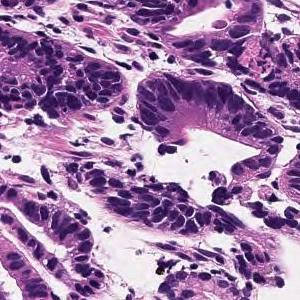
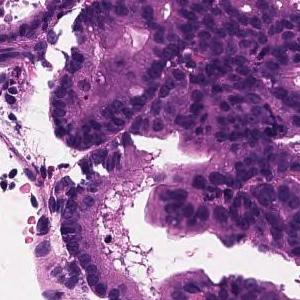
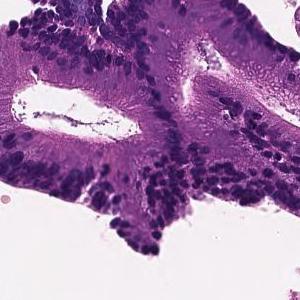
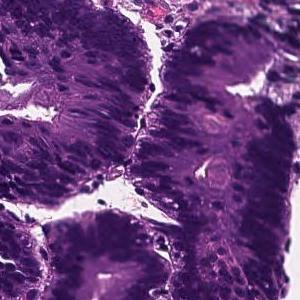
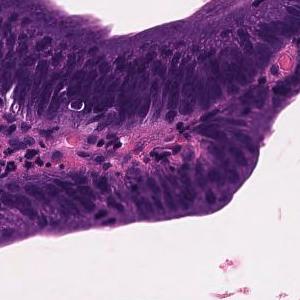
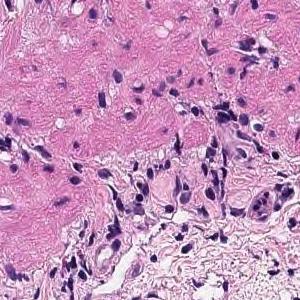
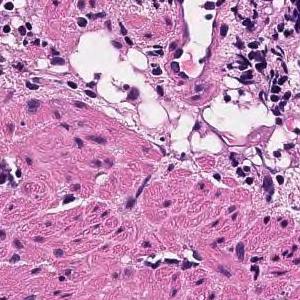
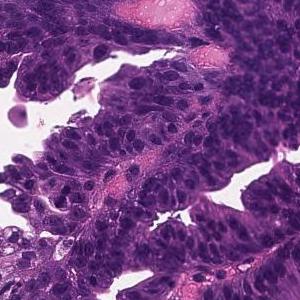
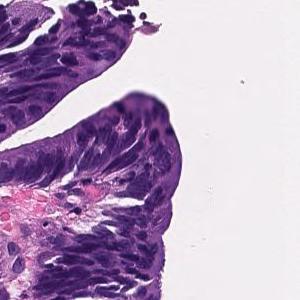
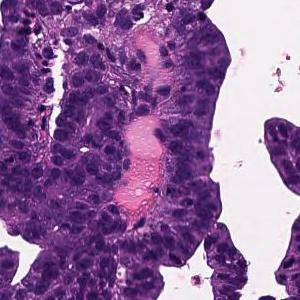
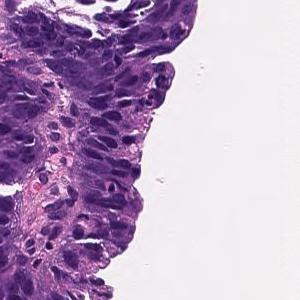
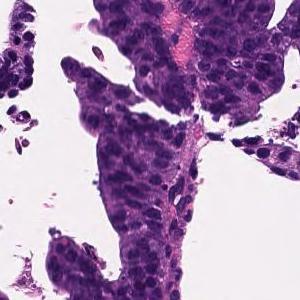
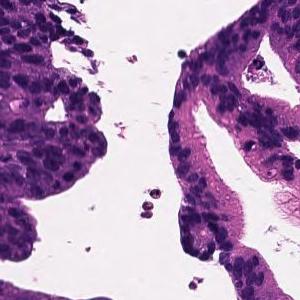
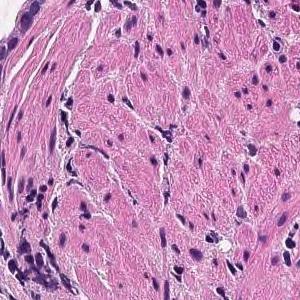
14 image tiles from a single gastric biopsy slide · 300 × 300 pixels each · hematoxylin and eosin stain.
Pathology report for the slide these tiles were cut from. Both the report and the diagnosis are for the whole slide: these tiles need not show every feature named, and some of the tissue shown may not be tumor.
Tumor tissue consisting of large papillary structures is found in the superficial epithelium. Papillary adenocarcinoma.
